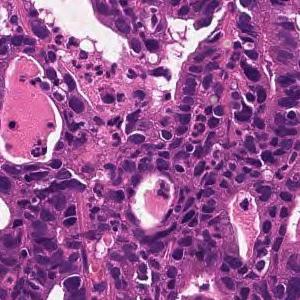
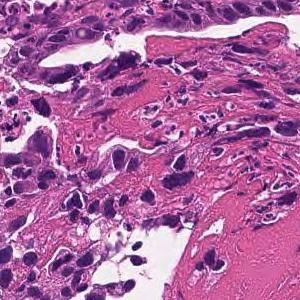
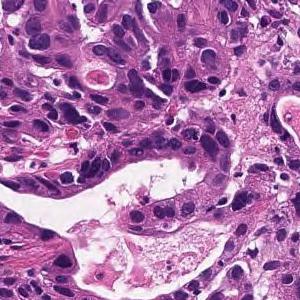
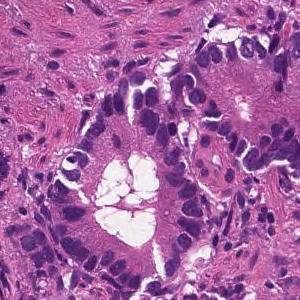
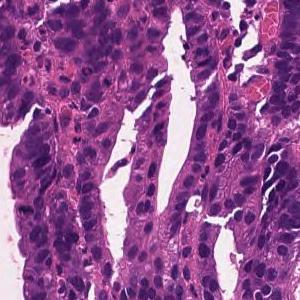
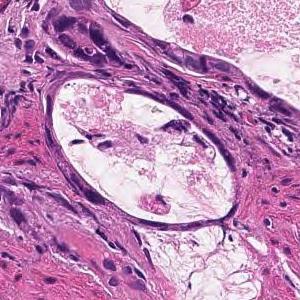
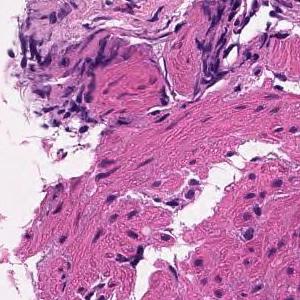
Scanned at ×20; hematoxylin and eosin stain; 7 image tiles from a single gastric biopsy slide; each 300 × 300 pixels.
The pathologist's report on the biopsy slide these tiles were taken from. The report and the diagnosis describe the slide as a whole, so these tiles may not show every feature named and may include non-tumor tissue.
In the superficial epithelium, tumor tissue that invades by forming medium-sized to small, irregular ducts is observed. moderately differentiated tubular adenocarcinoma.
